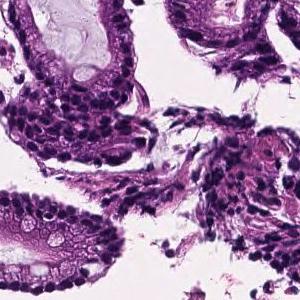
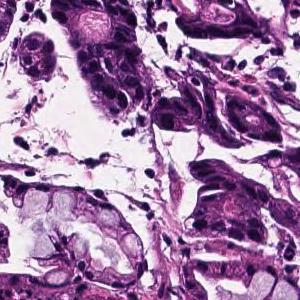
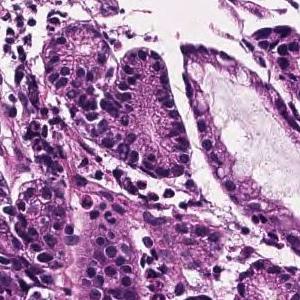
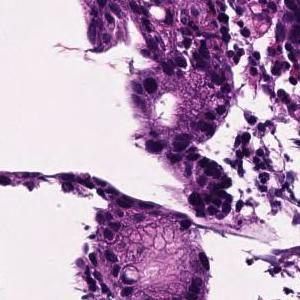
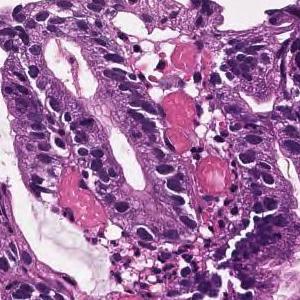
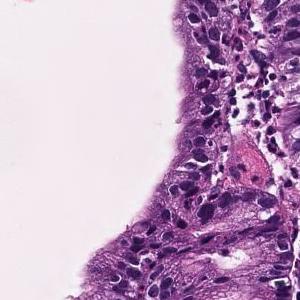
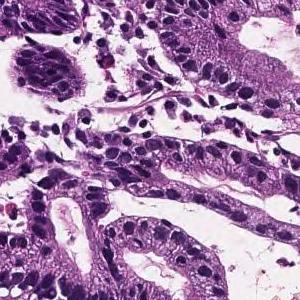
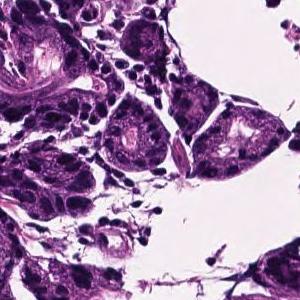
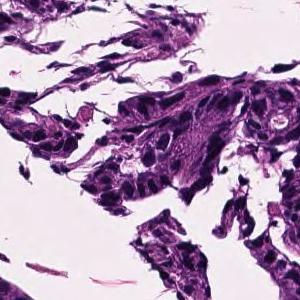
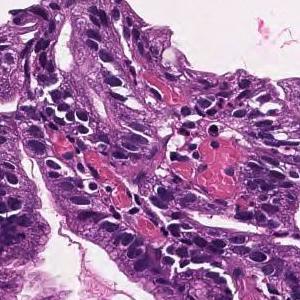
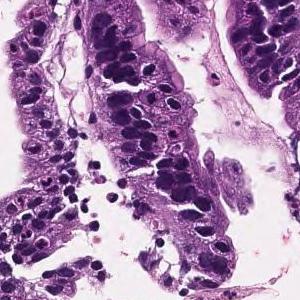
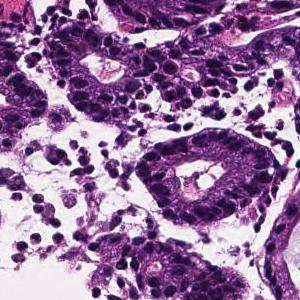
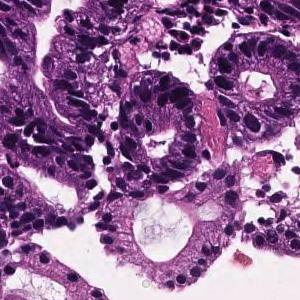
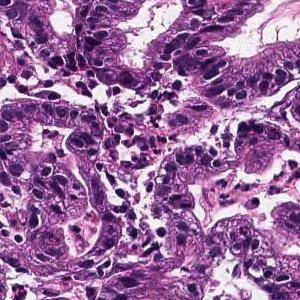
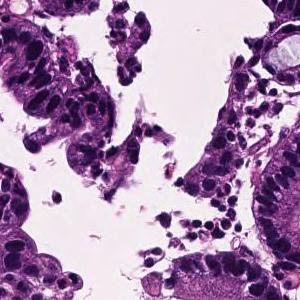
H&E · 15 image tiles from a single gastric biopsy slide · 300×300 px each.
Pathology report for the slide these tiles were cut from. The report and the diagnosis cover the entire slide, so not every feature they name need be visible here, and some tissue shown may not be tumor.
On the superficial epithelium, tumor tissue that infiltrates by forming medium-sized papillary or small irregular ducts is observed. Papillary adenocarcinoma
